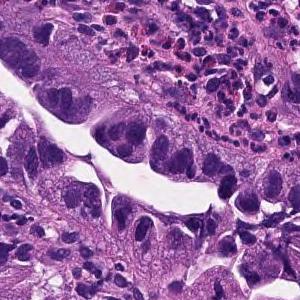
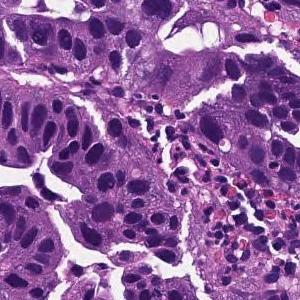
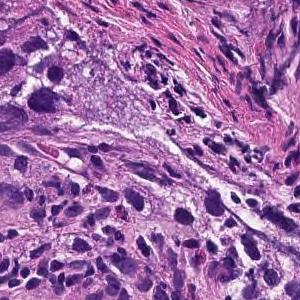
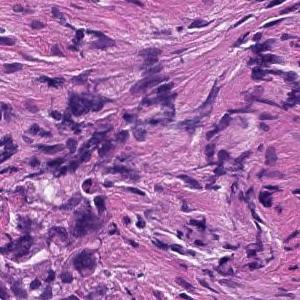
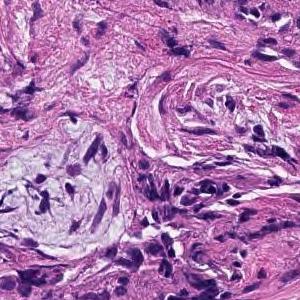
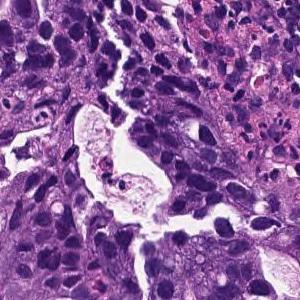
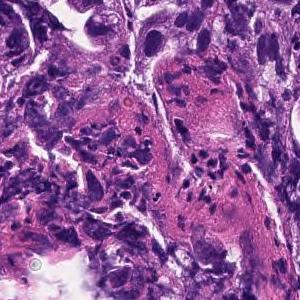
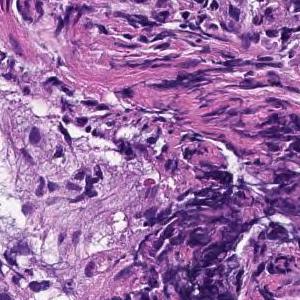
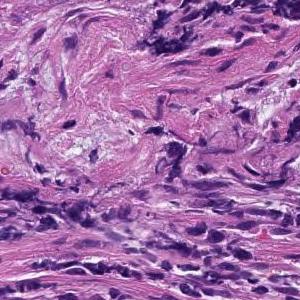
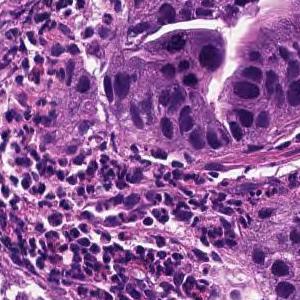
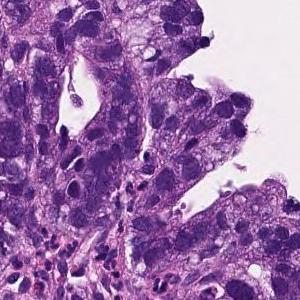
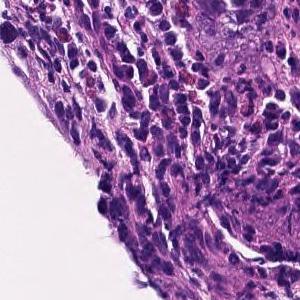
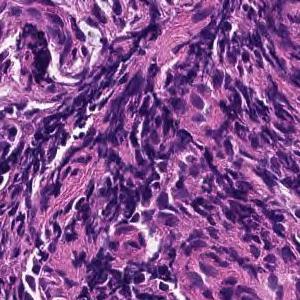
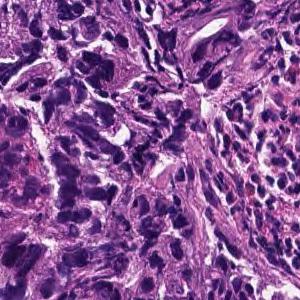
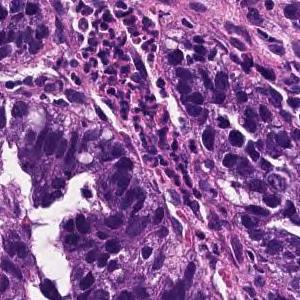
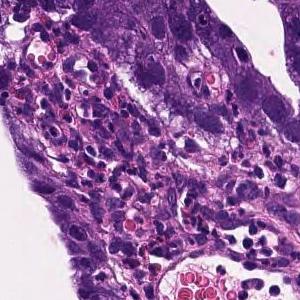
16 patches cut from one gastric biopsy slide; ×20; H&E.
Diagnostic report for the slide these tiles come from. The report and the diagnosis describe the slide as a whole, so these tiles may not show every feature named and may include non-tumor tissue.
Tumor tissue consisting of large papillary structures is found in the superficial epithelium. Papillary adenocarcinoma.
